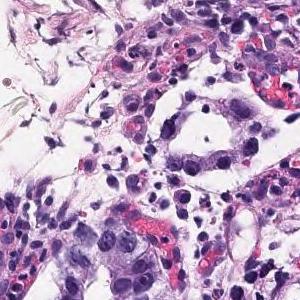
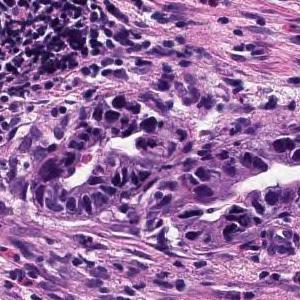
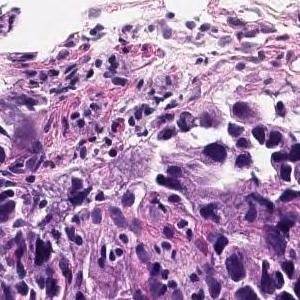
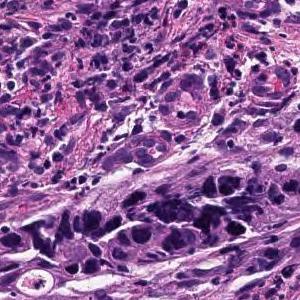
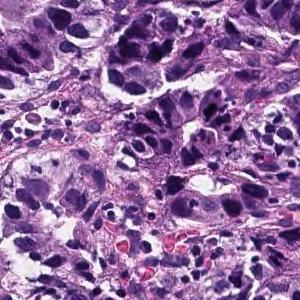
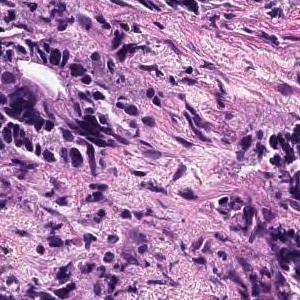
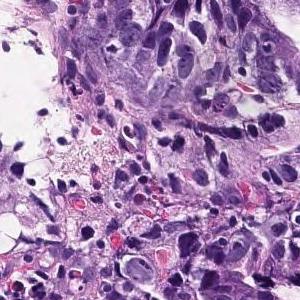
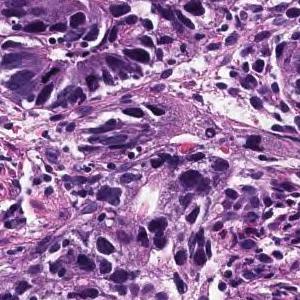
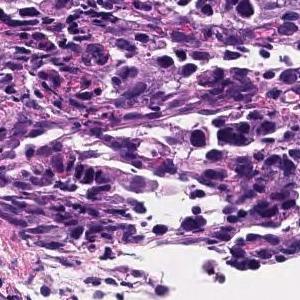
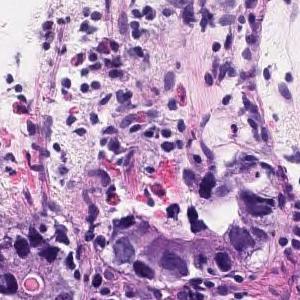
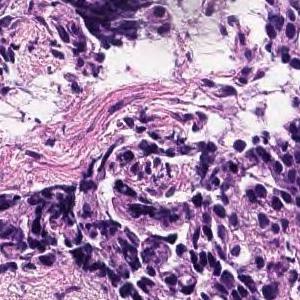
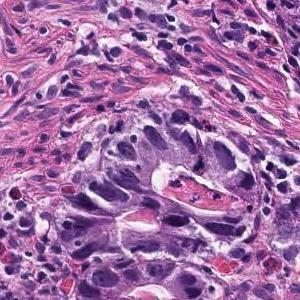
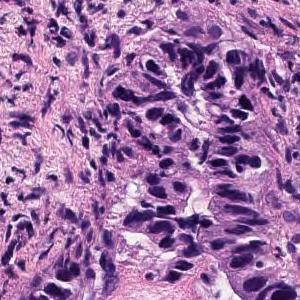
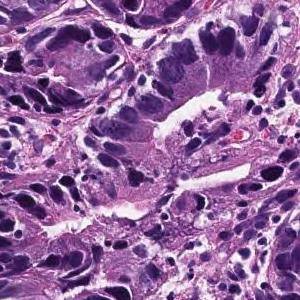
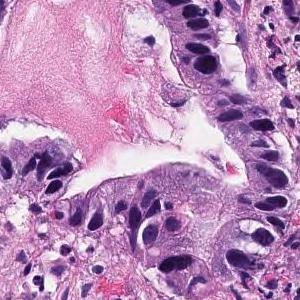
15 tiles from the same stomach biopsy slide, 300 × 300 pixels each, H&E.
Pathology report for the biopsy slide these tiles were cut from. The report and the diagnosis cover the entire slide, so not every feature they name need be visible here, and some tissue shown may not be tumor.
In the superficial epithelium, tumor tissue that invades by forming medium-sized to small, irregular ducts is observed. Tumor cells are columnar or cuboidal in shape. Moderately differentiated adenocarcinoma.
Histologic type: Moderately differentiated tubular adenocarcinoma.
